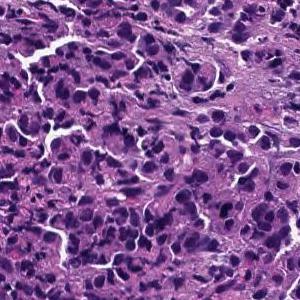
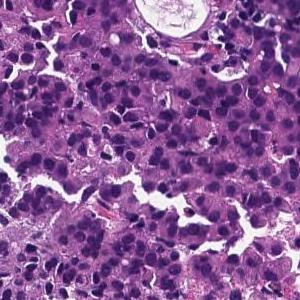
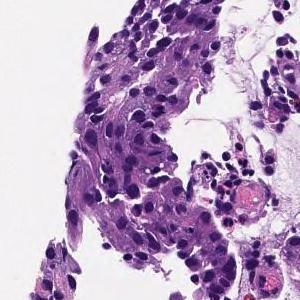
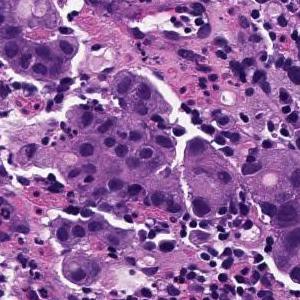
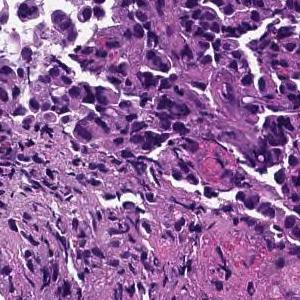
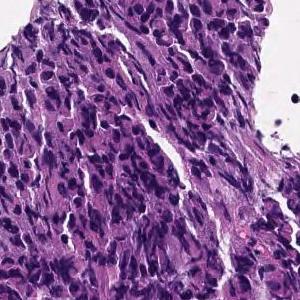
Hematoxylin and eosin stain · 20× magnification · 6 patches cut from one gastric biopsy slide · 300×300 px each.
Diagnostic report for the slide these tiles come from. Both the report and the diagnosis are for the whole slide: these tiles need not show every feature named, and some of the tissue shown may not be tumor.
The superficial epithelium shows a large sheet-like shape, and some tumor tissue infiltrates with small irregular ducts. Poorly differentiated adenocarcinoma, solid-type
Histological subtype: Poorly differentiated adenocarcinoma, solid type (Japanese Classification of Gastric Carcinoma). The WHO 2019 equivalent is tubular adenocarcinoma, poorly differentiated.
